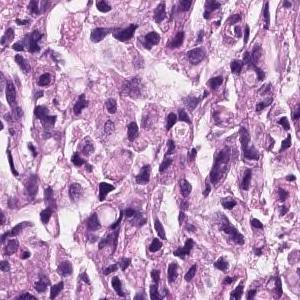
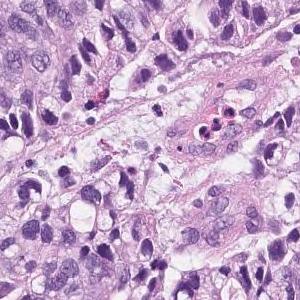
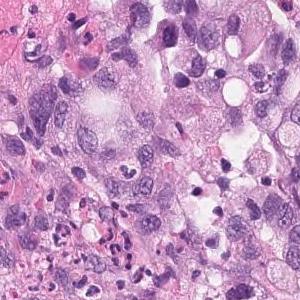
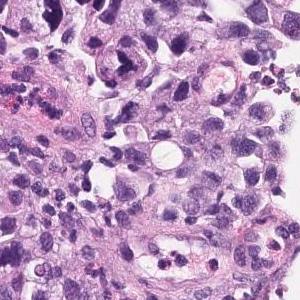
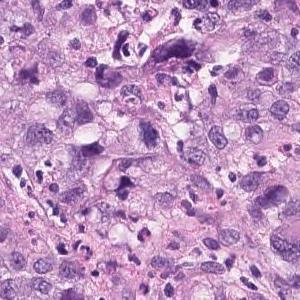
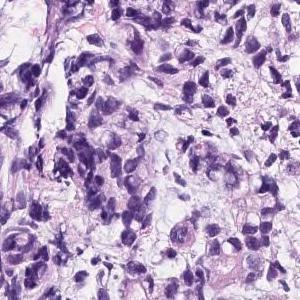
Hematoxylin and eosin stain; scanned at ×20; 6 patches cut from one gastric biopsy slide.
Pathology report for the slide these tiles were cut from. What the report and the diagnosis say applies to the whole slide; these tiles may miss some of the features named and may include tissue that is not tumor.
Group 5, Adenocarcinoma. Poorly differentiated adenocarcinoma, non-solid type
The non-solid type named here is a Japanese Classification of Gastric Carcinoma category.
